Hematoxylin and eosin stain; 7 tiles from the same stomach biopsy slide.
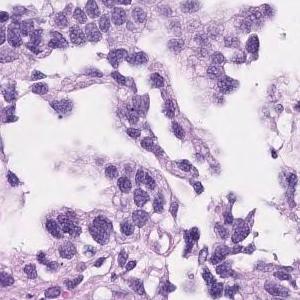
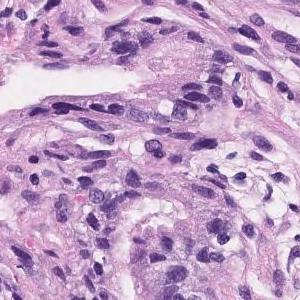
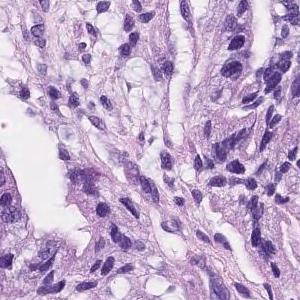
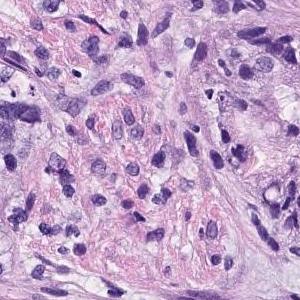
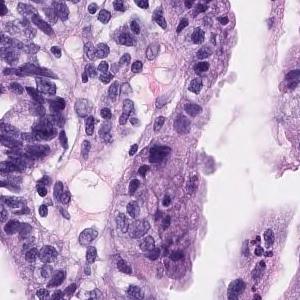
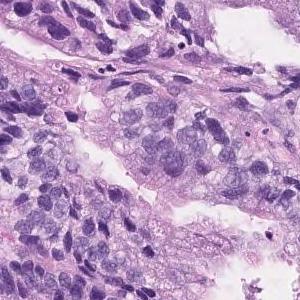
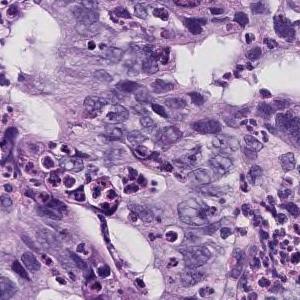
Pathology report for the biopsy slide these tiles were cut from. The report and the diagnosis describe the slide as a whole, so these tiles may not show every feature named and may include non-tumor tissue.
Tumor cells are large, highly columnar, large club-shaped nuclei, and are associated with chromatin aggregation. Papillary adenocarcinoma.
